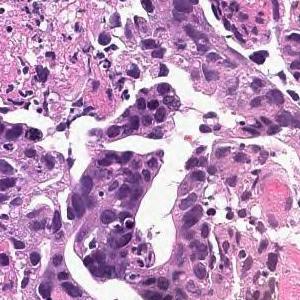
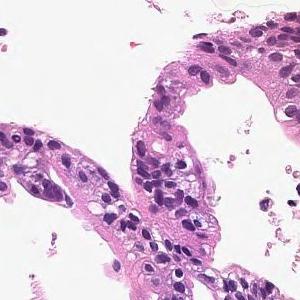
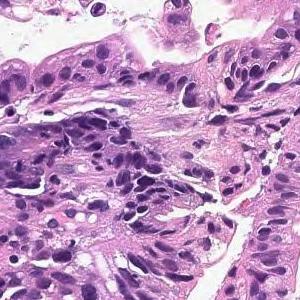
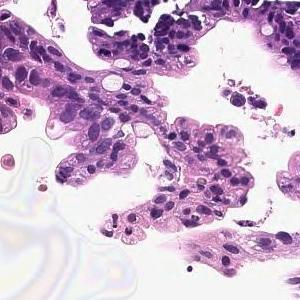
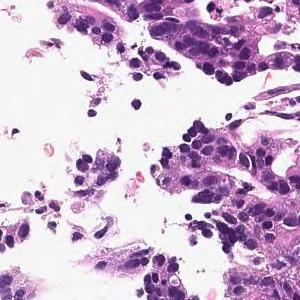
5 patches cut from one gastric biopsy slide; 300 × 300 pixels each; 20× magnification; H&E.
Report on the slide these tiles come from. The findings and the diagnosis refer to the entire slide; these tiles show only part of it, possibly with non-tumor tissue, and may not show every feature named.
In the superficial epithelium, tumor tissue that invades by forming medium-sized to small, irregular ducts is observed. moderately differentiated tubular adenocarcinoma.
